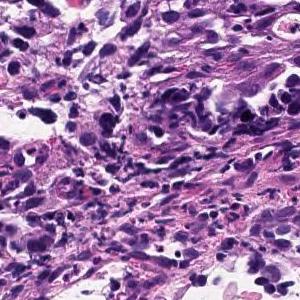
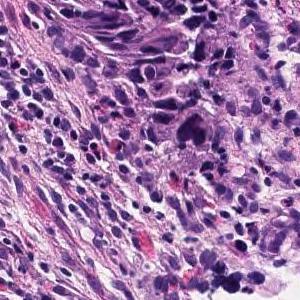
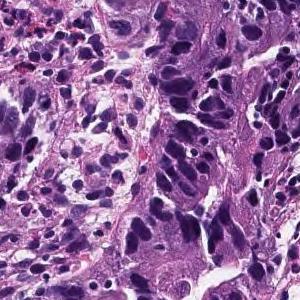
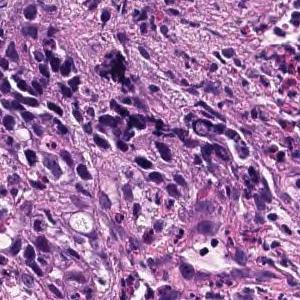
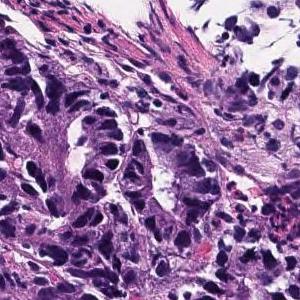
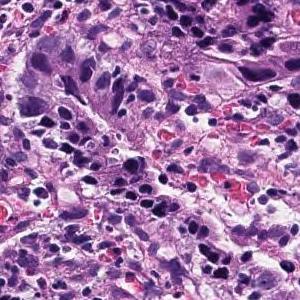
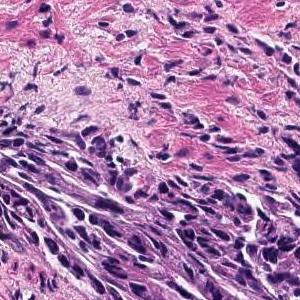
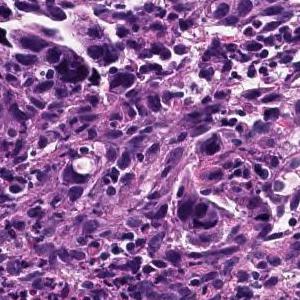
H&E; scanned at ×20; 8 image tiles from a single gastric biopsy slide.
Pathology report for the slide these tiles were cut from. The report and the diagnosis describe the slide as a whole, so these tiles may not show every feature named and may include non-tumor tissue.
In the superficial epithelium, tumor tissue that invades by forming medium-sized to small, irregular ducts is observed. Tumor cells are columnar or cuboidal in shape. Moderately differentiated adenocarcinoma.
Histologic type: Moderately differentiated tubular adenocarcinoma.
